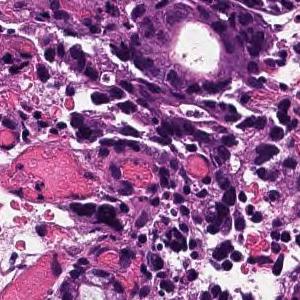
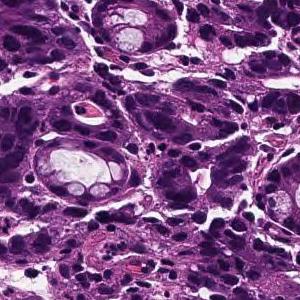
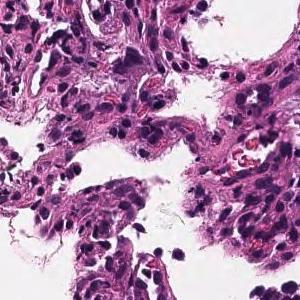
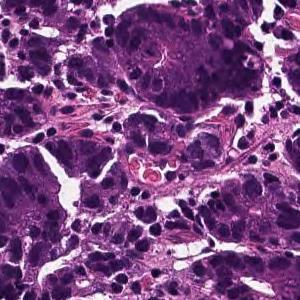
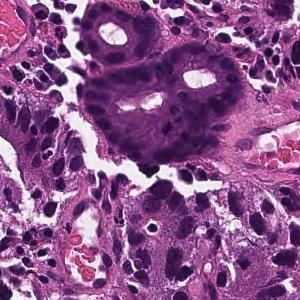
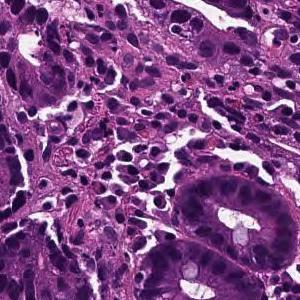
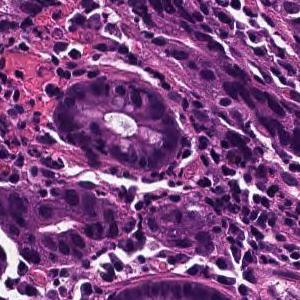
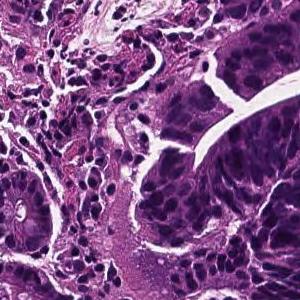
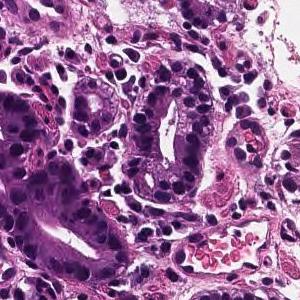
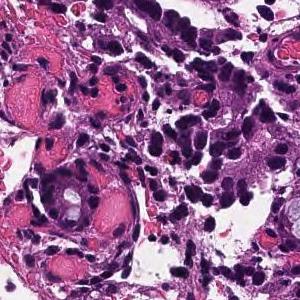
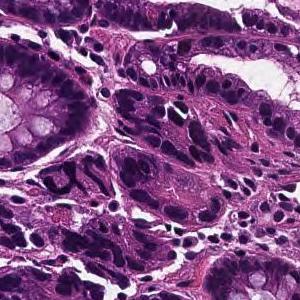
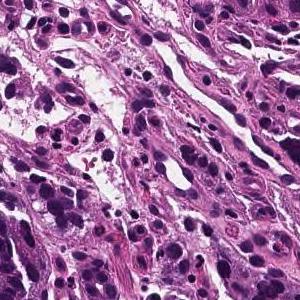
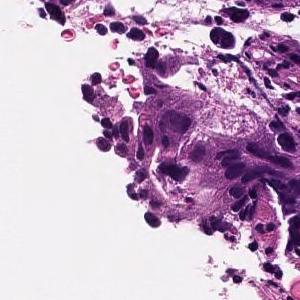
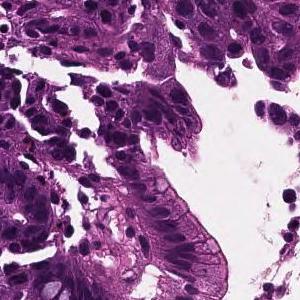
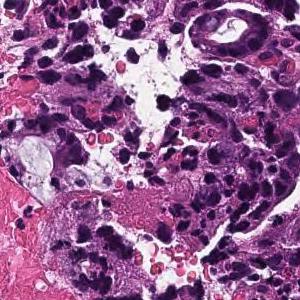
15 tiles from the same stomach biopsy slide · each 300 × 300 pixels · 20× magnification · hematoxylin and eosin stain.
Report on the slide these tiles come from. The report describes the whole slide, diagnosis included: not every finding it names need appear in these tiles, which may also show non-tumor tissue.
In the superficial epithelium, tumor tissue that invades by forming medium-sized to small, irregular ducts is observed. moderately differentiated tubular adenocarcinoma.
